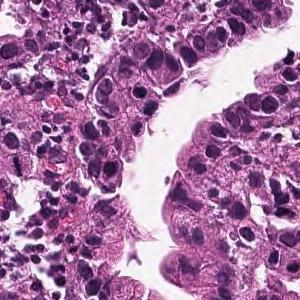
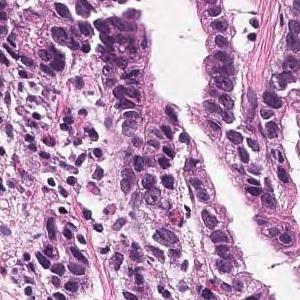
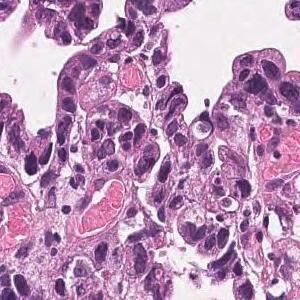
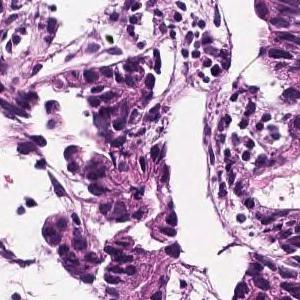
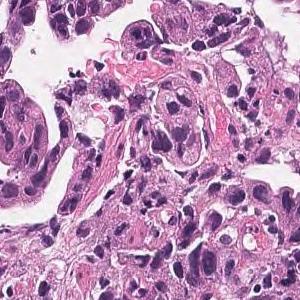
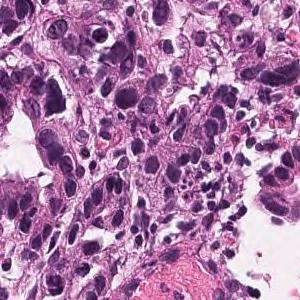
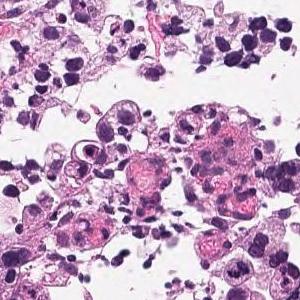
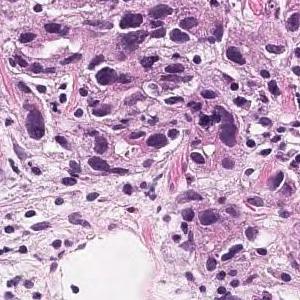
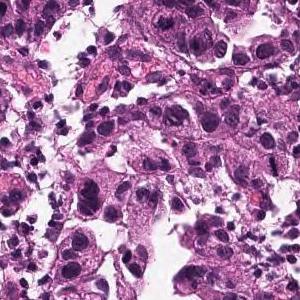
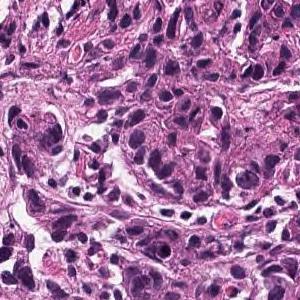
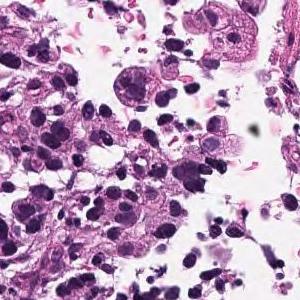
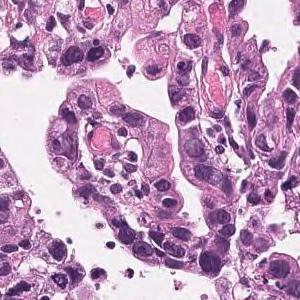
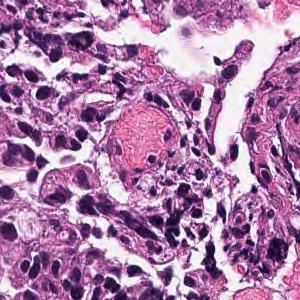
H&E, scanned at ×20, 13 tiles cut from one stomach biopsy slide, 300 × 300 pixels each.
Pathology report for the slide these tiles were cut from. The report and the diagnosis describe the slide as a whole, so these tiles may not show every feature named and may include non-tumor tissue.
Medium to small, irregular glandular ducts are formed in the superficial epithelium, and in some cases, the glandular ducts are fused to show solid alveolar lesions and infiltrating tumor tissue is observed. Moderately to poorly differentiated adenocarcinoma.
